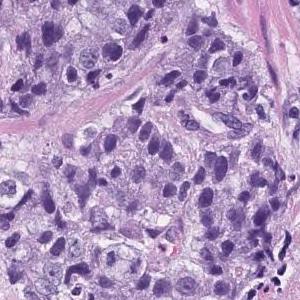
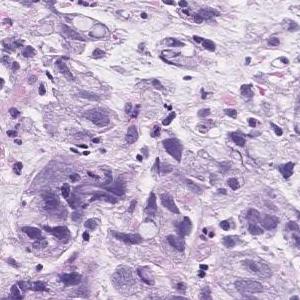
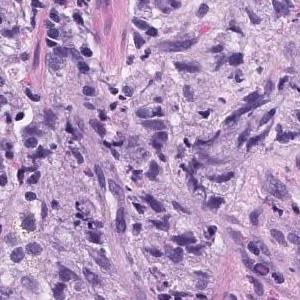
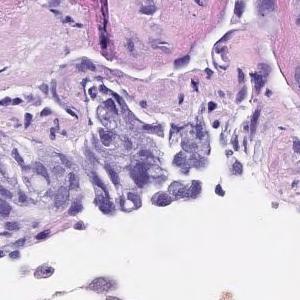
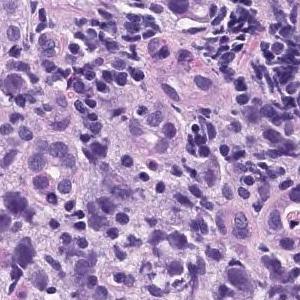
Scanned at ×20; hematoxylin and eosin stain; 5 tiles cut from one stomach biopsy slide.
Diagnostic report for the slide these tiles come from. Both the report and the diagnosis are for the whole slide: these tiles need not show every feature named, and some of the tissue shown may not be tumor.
Atypical l cells with atypical nuclei forming solid vesicles or small irregular atypical ducts that proliferate in a complex manner. poorly differentiated adenocarcinoma, solid type, moderately differentiated tubular adenocarcinoma
The solid type named here is a Japanese Classification of Gastric Carcinoma category; WHO 2019 calls it tubular adenocarcinoma, poorly differentiated.
